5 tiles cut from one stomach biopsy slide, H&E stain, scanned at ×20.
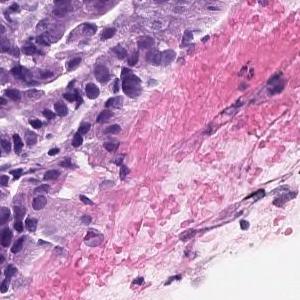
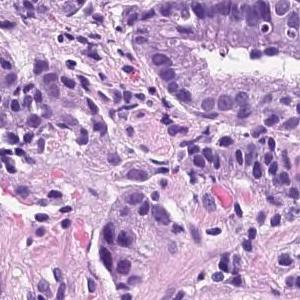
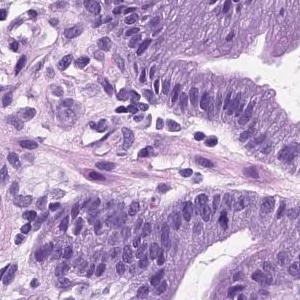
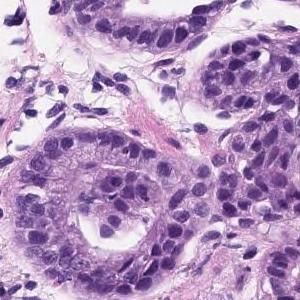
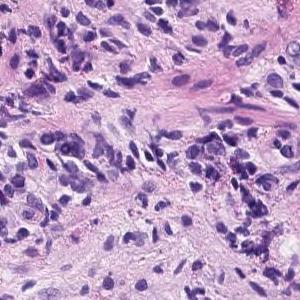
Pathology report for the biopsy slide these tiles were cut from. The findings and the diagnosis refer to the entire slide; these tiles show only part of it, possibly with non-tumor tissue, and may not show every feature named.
Tumor tissue consisting of medium-sized and irregular ducts is observed infiltrating in the superficial epithelium. Tumor cells are highly columnar, with nuclei aligned basolaterally and polarized. Well differentiated tubular adenocarcinoma.
